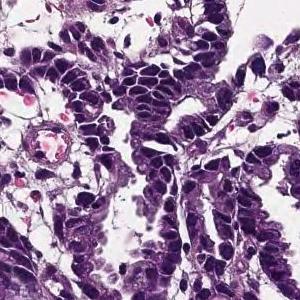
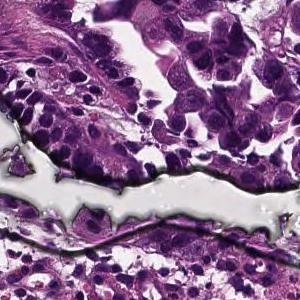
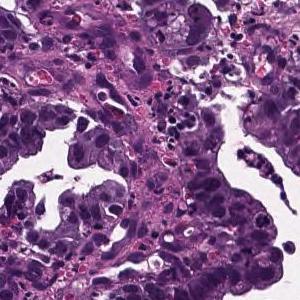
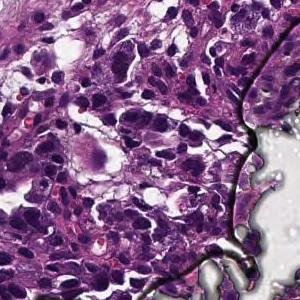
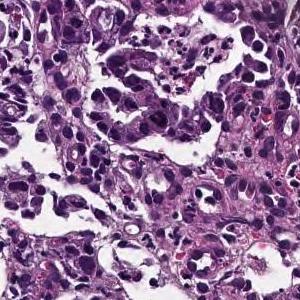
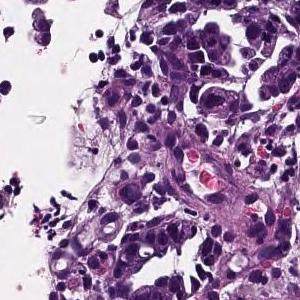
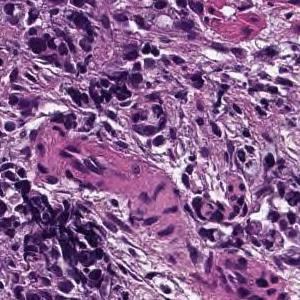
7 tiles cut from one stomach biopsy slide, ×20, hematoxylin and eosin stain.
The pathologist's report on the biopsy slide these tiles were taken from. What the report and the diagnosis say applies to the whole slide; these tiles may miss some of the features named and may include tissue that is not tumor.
Medium to small, irregular glandular ducts are formed in the superficial epithelium, and in some cases, the glandular ducts are fused to show solid alveolar lesions and infiltrating tumor tissue is observed. Moderately to poorly differentiated adenocarcinoma.
